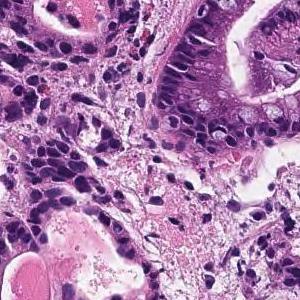
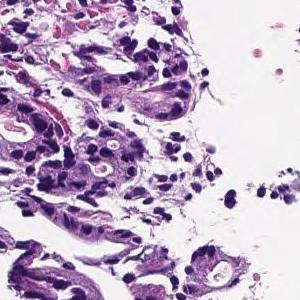
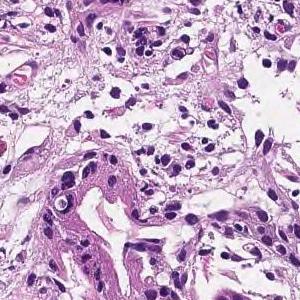
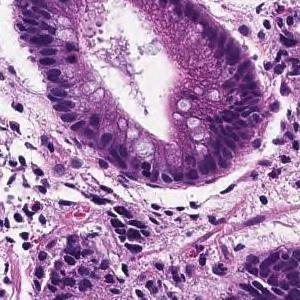
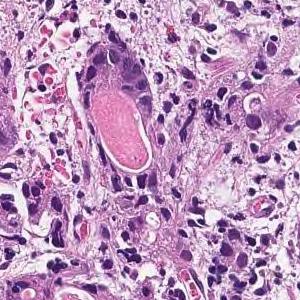
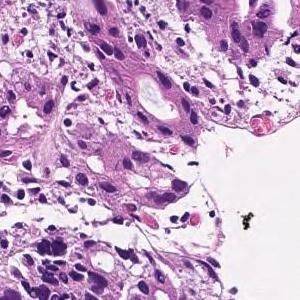
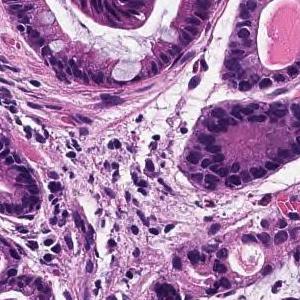
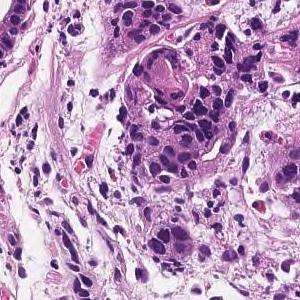
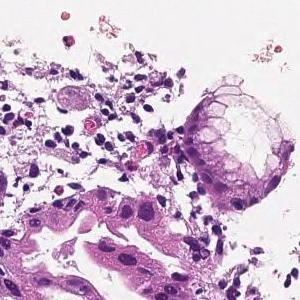
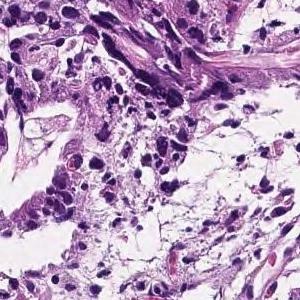
10 patches cut from one gastric biopsy slide; ×20; H&E.
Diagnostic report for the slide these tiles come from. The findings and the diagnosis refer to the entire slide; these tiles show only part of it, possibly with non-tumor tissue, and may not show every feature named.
In the superficial epithelium, tumor tissue that invades by forming medium-sized to small, irregular ducts is observed. moderately differentiated tubular adenocarcinoma.
